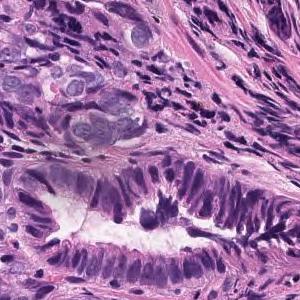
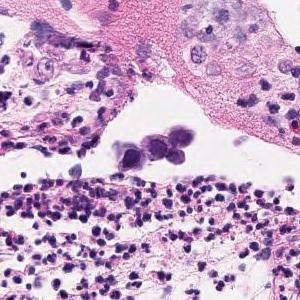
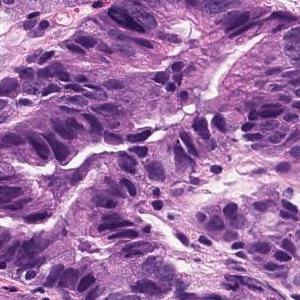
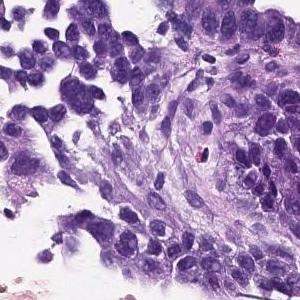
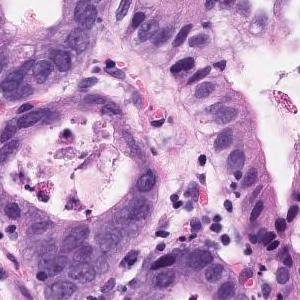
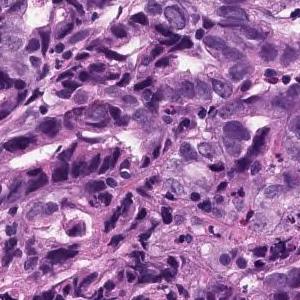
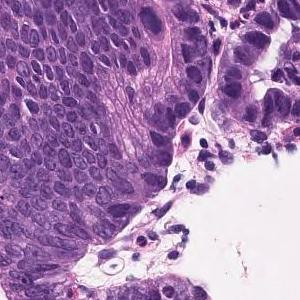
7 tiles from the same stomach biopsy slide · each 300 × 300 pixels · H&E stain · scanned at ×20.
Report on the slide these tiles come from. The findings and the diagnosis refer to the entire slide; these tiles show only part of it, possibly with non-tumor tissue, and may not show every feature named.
The swollen atypical epithelium of the nucleus forms an irregular ductal structure and proliferates. moderately differentiated tubular adenocarcinoma
